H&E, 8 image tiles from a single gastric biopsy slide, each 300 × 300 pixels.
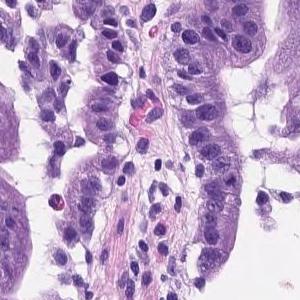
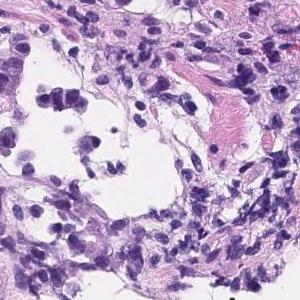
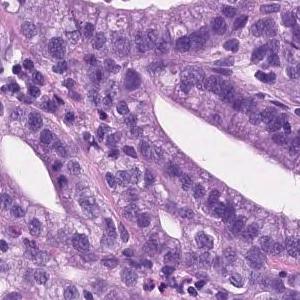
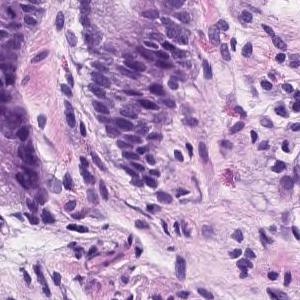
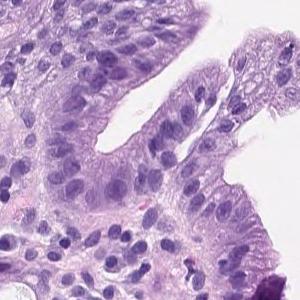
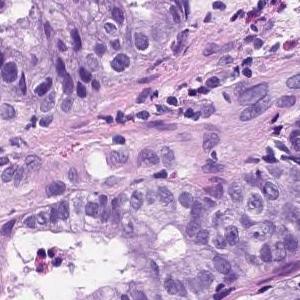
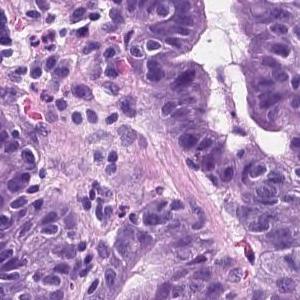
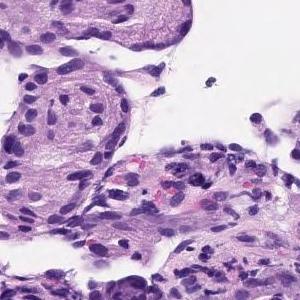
Pathology report for the biopsy slide these tiles were cut from. The report and the diagnosis cover the entire slide, so not every feature they name need be visible here, and some tissue shown may not be tumor.
Tumor tissue consisting of medium-sized and irregular ducts is observed infiltrating in the superficial epithelium. Tumor cells are highly columnar, with nuclei aligned basolaterally and polarized. Well differentiated tubular adenocarcinoma.
